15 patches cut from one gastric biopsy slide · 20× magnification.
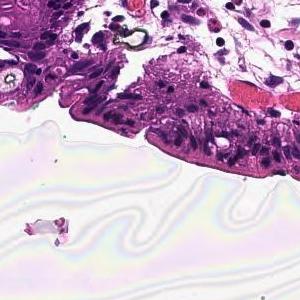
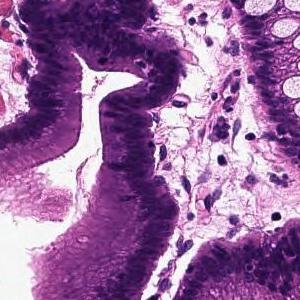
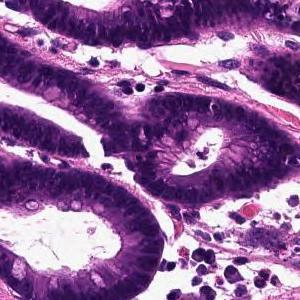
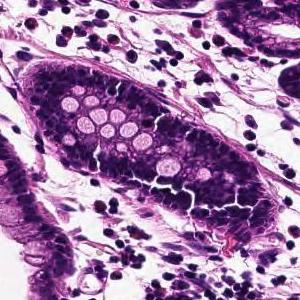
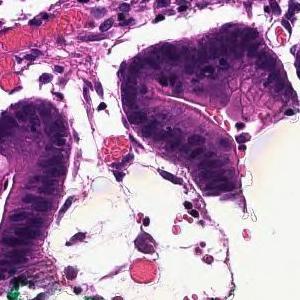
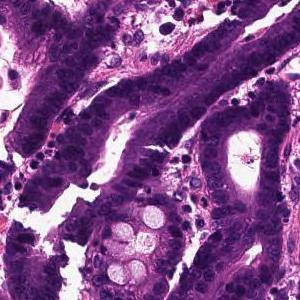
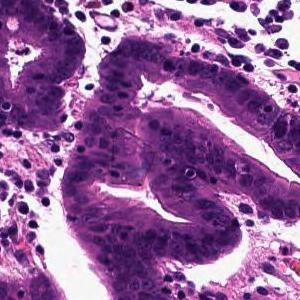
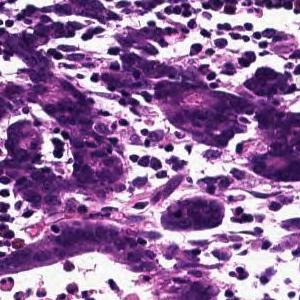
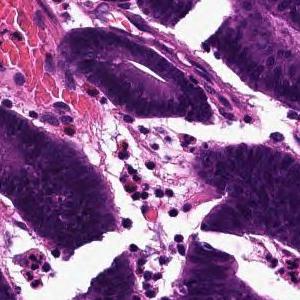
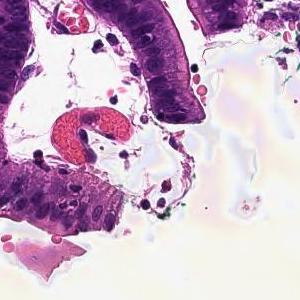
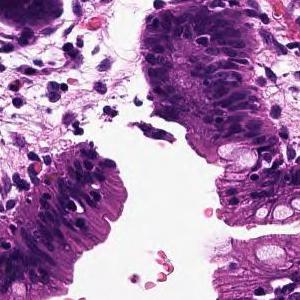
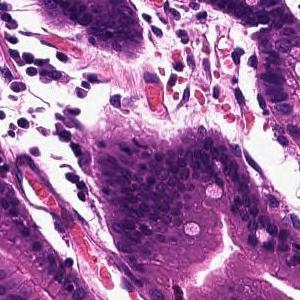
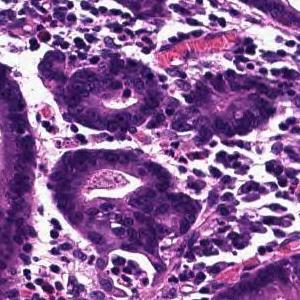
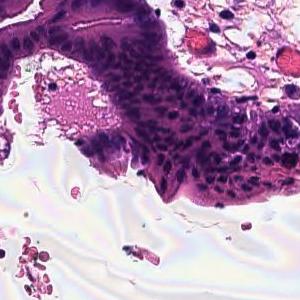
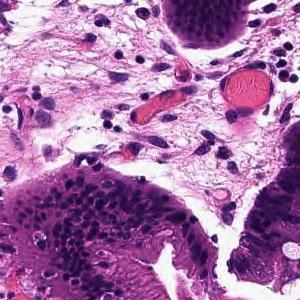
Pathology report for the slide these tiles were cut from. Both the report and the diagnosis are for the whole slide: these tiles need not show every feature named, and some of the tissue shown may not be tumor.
Tumor tissue that infiltrates by forming large papillary or large irregular glandular ducts is observed confined to the mucosa. Papillary adenocarcinoma
